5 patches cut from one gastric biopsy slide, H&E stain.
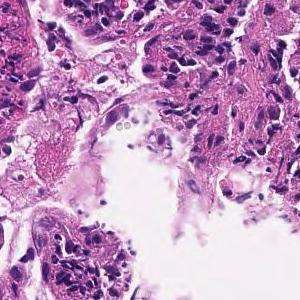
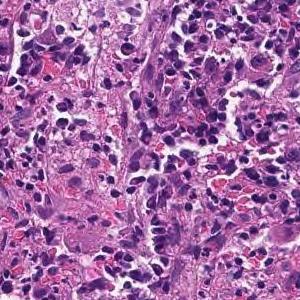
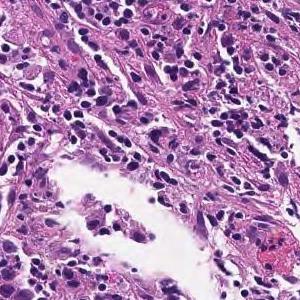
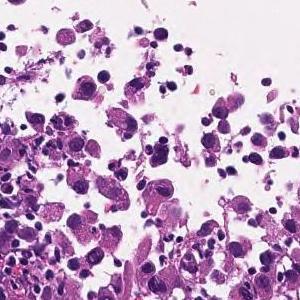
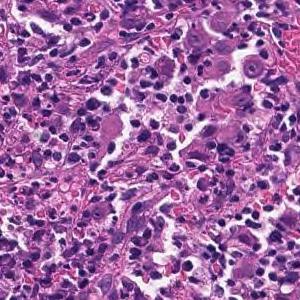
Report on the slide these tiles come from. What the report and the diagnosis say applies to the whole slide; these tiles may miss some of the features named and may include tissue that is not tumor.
The superficial epithelium shows a large sheet-like shape, and some tumor tissue infiltrates with small irregular ducts. Poorly differentiated adenocarcinoma, solid-type (poorly differentiated adenocarcinoma, solid type)
Tumor subtype: poorly differentiated adenocarcinoma, solid type. This name comes from the Japanese Classification of Gastric Carcinoma; the WHO 2019 classification calls it tubular adenocarcinoma, poorly differentiated.
